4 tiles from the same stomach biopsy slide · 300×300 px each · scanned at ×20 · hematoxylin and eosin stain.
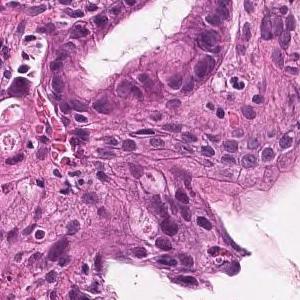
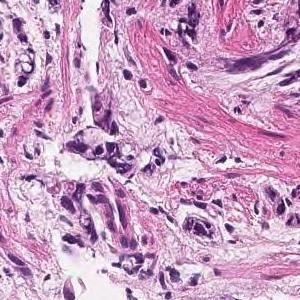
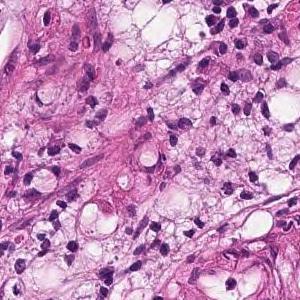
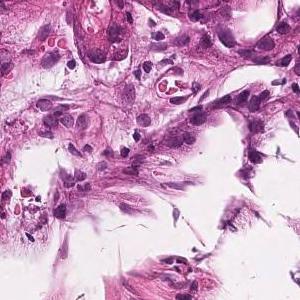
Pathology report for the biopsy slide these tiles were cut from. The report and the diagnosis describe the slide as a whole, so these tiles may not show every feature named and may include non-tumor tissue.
In the gastric mucosal tissue, tumor tissue that forms irregular glandular cavities of medium to small size or shows small cords and infiltrates is observed. moderately differentiated tubular adenocarcinoma
